H&E stain · 16 tiles cut from one stomach biopsy slide · 300×300 px each.
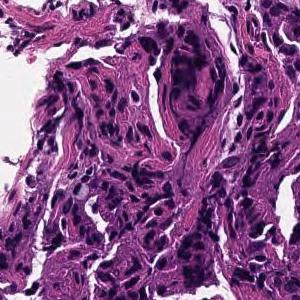
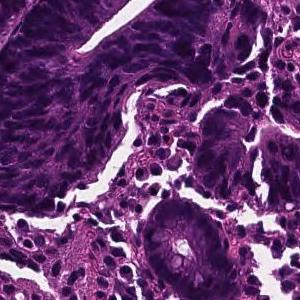
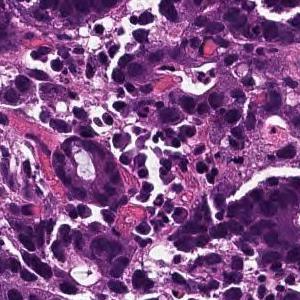
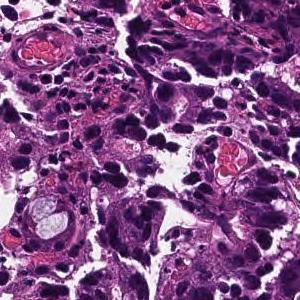
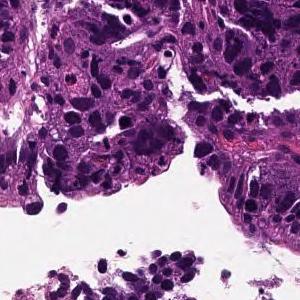
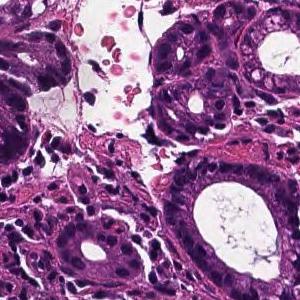
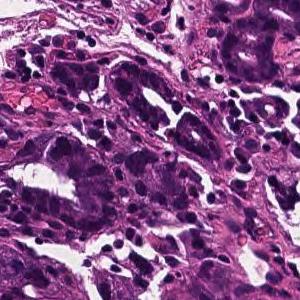
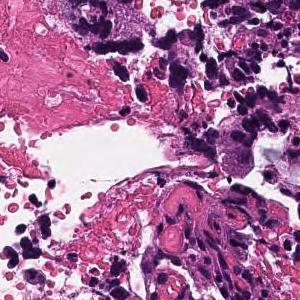
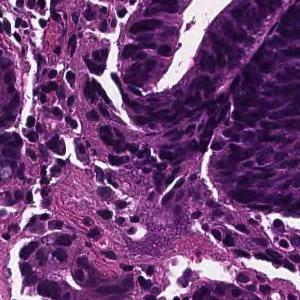
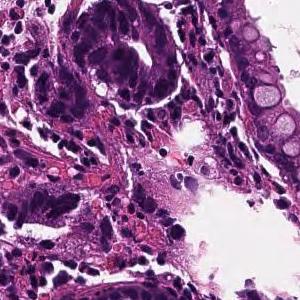
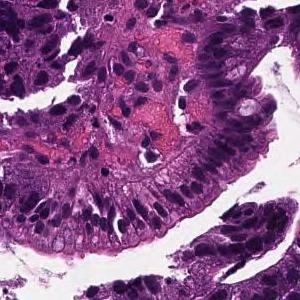
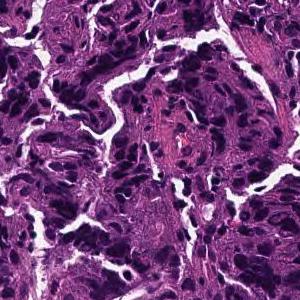
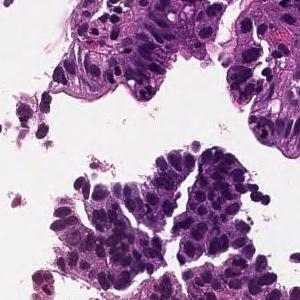
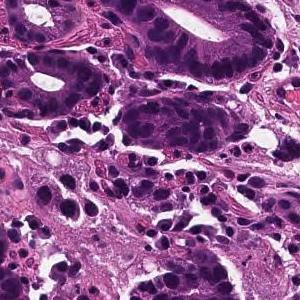
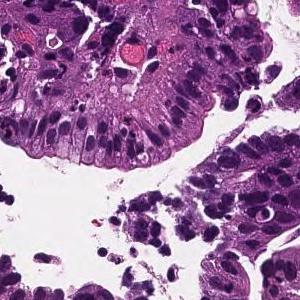
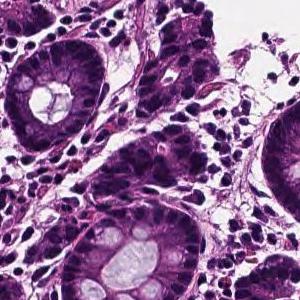
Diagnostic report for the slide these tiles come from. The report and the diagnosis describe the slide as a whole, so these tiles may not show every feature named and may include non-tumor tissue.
In the superficial epithelium, tumor tissue that invades by forming medium-sized to small, irregular ducts is observed. moderately differentiated tubular adenocarcinoma.
